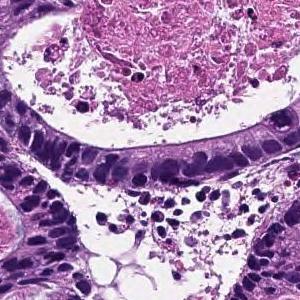
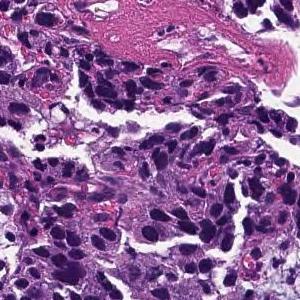
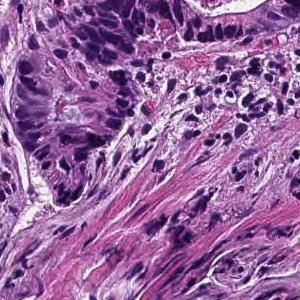
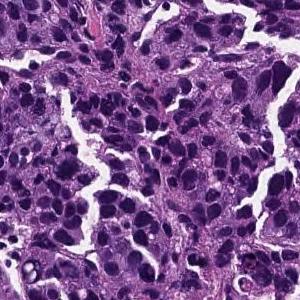
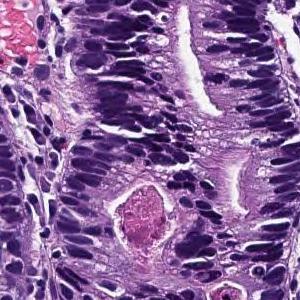
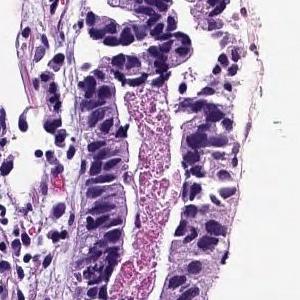
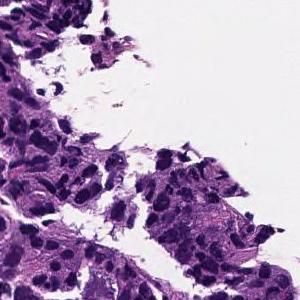
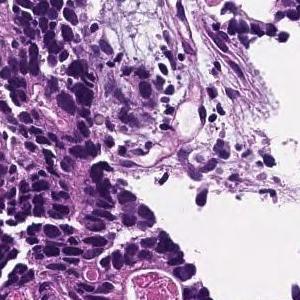
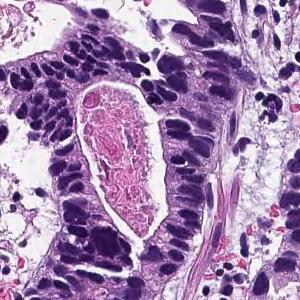
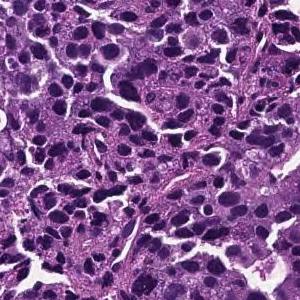
10 tiles cut from one stomach biopsy slide; scanned at ×20; H&E.
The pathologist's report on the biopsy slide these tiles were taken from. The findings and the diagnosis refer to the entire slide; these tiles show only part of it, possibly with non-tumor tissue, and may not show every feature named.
From the superficial epithelium to the muscularis mucosae, tumor tissue consisting of medium-sized and irregular glandular ducts infiltrating is observed. Well differentiated tubular adenocarcinoma
